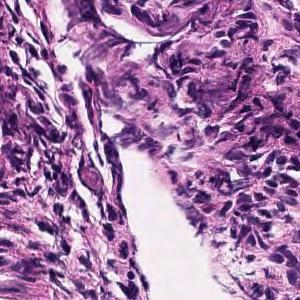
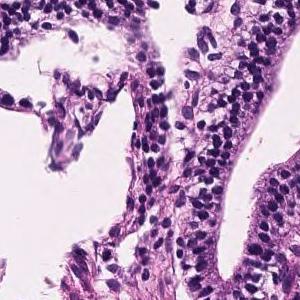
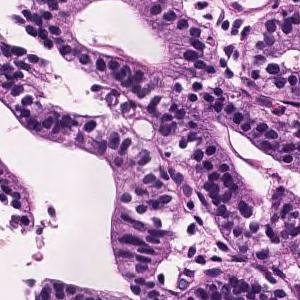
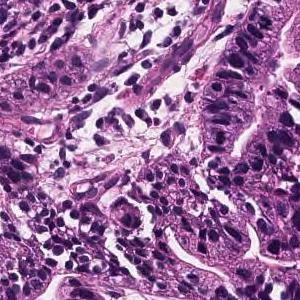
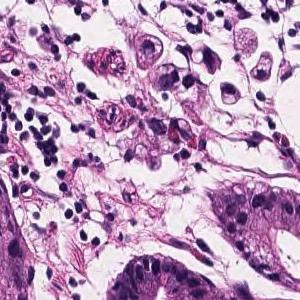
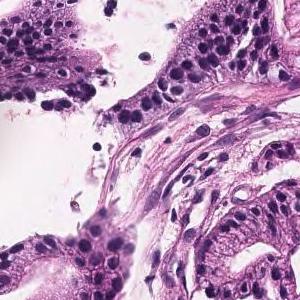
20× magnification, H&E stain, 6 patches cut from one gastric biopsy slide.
The pathologist's report on the biopsy slide these tiles were taken from. The report and the diagnosis describe the slide as a whole, so these tiles may not show every feature named and may include non-tumor tissue.
Tumor tissue consisting of large papillary structures or irregular glandular ducts partially fused and infiltrated is observed in the superficial epithelium. Well to moderately differentiated tubular adenocarcinoma.
Dataset label: moderately differentiated tubular adenocarcinoma.
